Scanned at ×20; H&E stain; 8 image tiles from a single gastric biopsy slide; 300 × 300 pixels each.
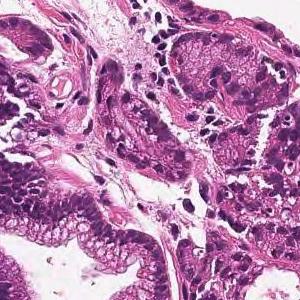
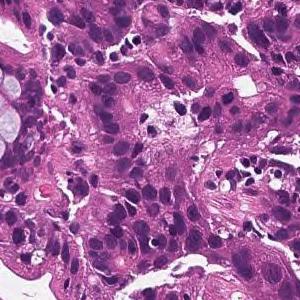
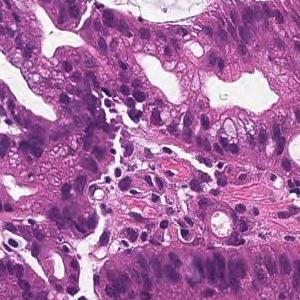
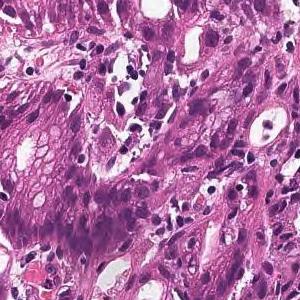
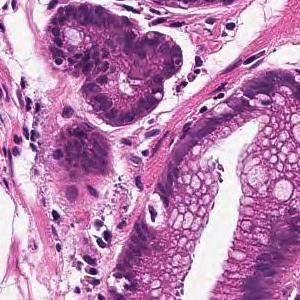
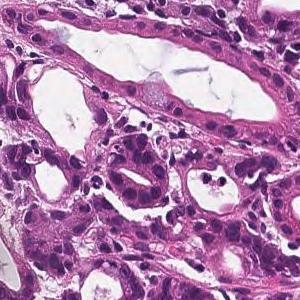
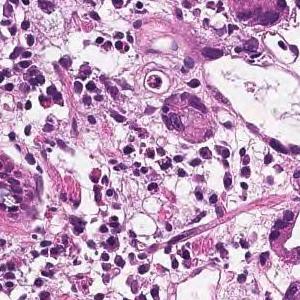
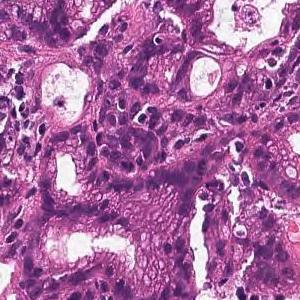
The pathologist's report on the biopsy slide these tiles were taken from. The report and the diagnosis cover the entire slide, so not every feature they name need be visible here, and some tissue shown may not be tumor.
In the superficial epithelium, tumor tissue that invades by forming medium-sized to small, irregular ducts is observed. moderately differentiated tubular adenocarcinoma.
